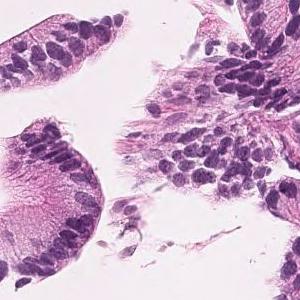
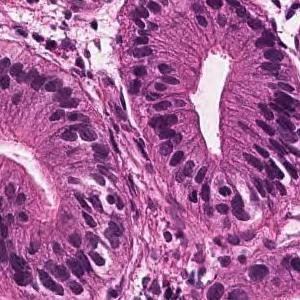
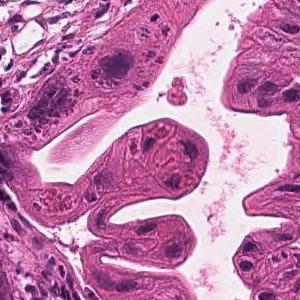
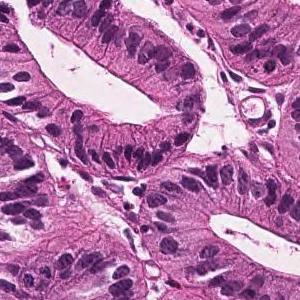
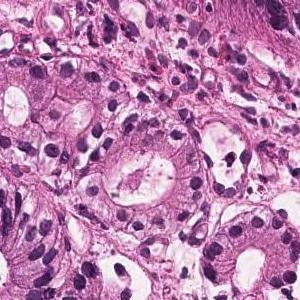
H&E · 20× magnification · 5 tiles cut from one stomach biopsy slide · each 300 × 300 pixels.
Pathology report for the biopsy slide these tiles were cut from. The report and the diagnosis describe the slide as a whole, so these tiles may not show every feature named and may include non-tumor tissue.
Tumor tissue consisting of medium-sized and irregular ducts is observed infiltrating in the superficial epithelium. Tumor cells are highly columnar, with nuclei aligned basolaterally and polarized. Well differentiated tubular adenocarcinoma.
